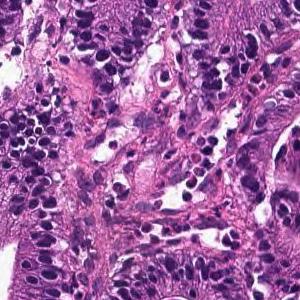
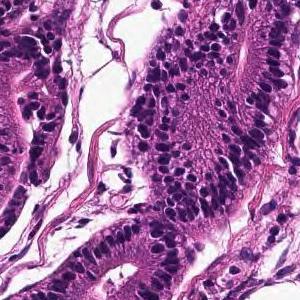
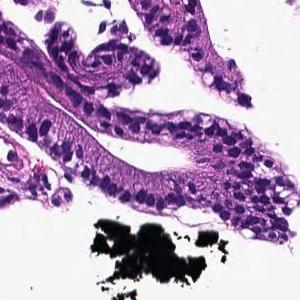
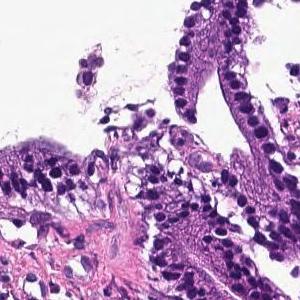
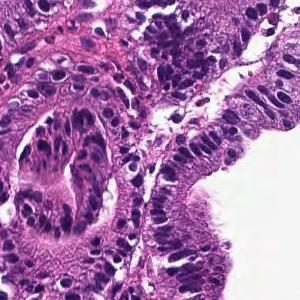
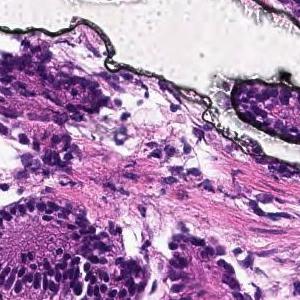
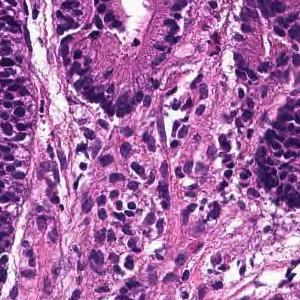
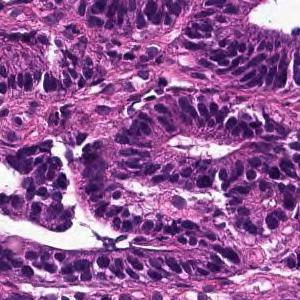
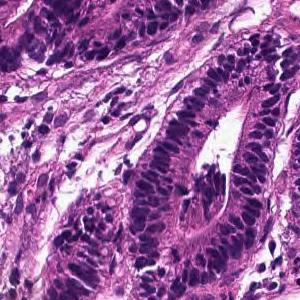
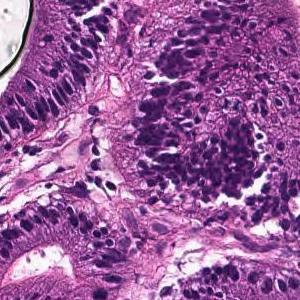
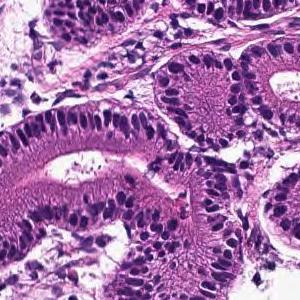
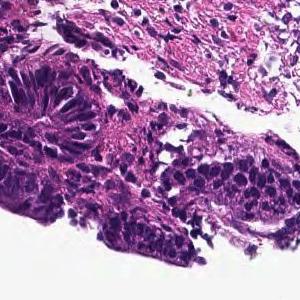
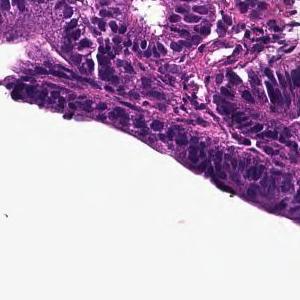
20× magnification · H&E · 13 tiles cut from one stomach biopsy slide · each 300 × 300 pixels.
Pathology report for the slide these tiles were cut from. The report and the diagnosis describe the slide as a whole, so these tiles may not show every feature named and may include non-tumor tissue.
On the superficial epithelium, tumor tissue that infiltrates by forming medium-sized round or small irregular ducts is observed. Papillary adenocarcinoma
